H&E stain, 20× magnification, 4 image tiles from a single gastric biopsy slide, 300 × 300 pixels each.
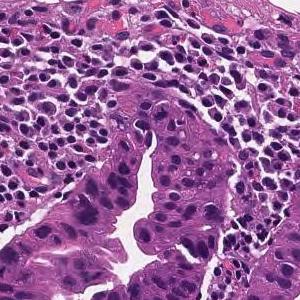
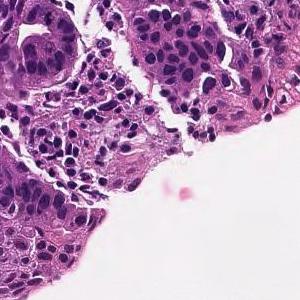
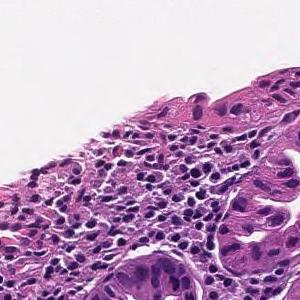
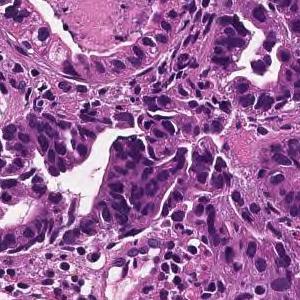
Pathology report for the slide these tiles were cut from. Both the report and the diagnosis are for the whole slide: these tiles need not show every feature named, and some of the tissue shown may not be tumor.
From the superficial epithelium to the muscularis mucosae, tumor tissue consisting of medium-sized and irregular glandular ducts infiltrating is observed. Well differentiated tubular adenocarcinoma
